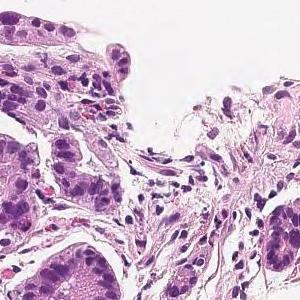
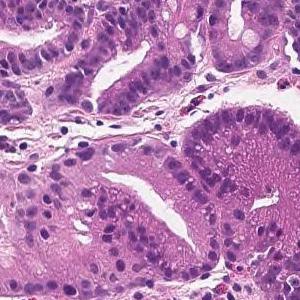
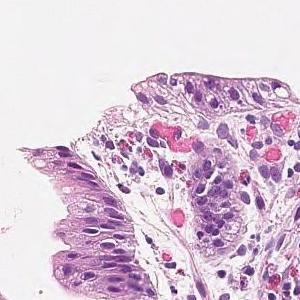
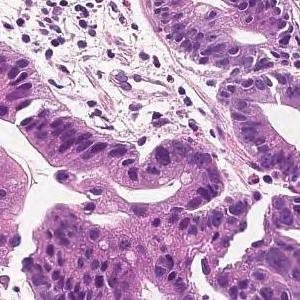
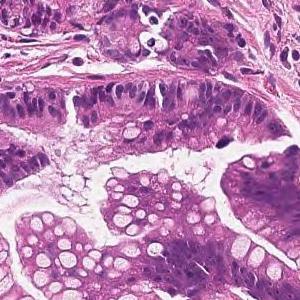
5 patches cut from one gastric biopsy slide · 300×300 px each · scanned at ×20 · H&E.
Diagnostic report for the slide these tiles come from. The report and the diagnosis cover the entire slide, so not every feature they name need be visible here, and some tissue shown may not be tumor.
From the superficial epithelium to the muscularis mucosae, tumor tissue consisting of medium-sized and irregular glandular ducts infiltrating is observed. Well differentiated tubular adenocarcinoma
